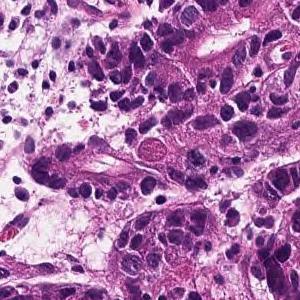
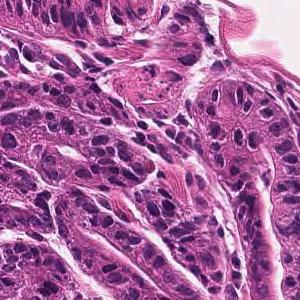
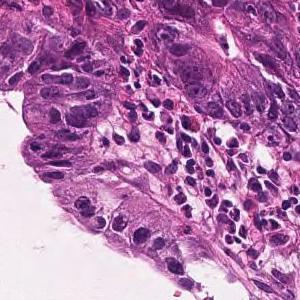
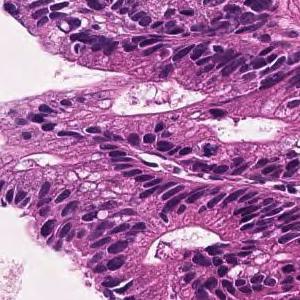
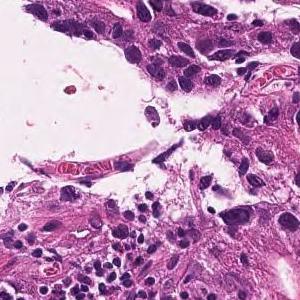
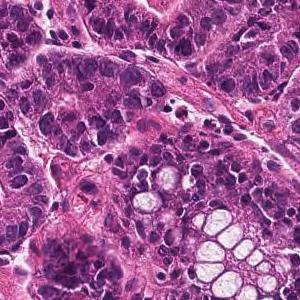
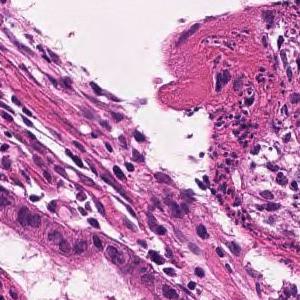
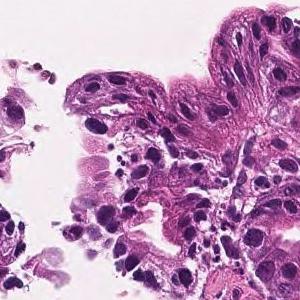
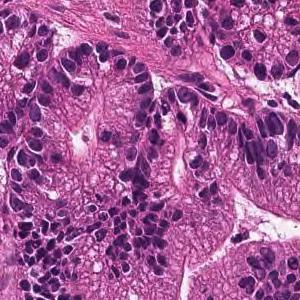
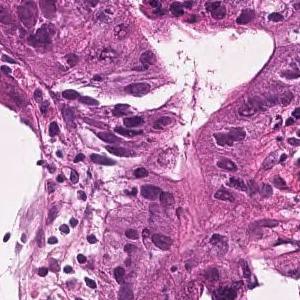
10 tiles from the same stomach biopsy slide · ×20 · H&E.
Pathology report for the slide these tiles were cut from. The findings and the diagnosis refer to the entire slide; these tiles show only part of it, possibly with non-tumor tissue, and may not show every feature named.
In the superficial epithelium, tumor tissue that invades by forming medium-sized to small, irregular ducts is observed. moderately differentiated tubular adenocarcinoma.
